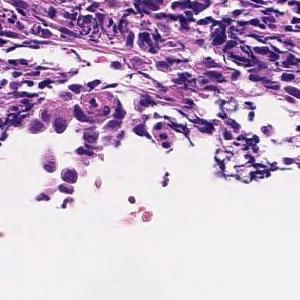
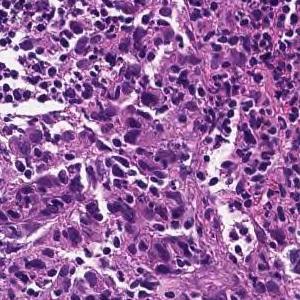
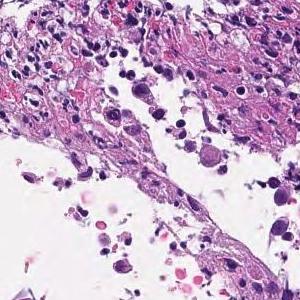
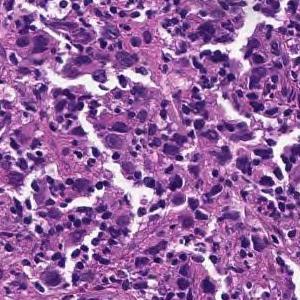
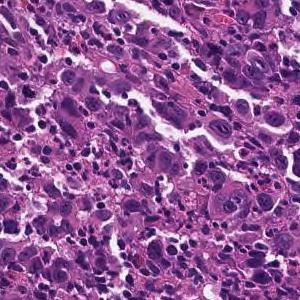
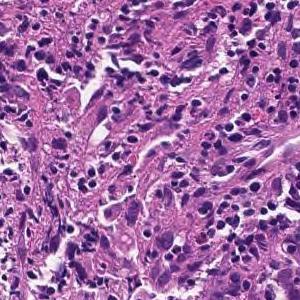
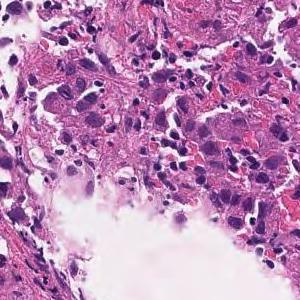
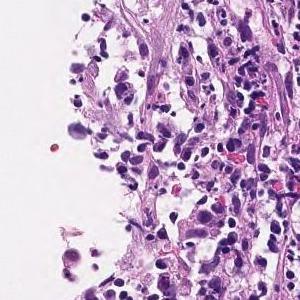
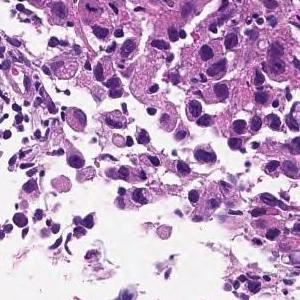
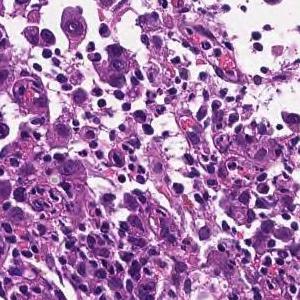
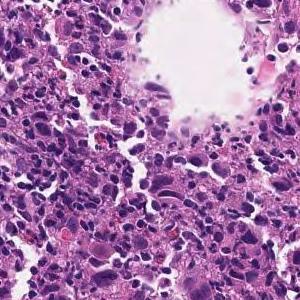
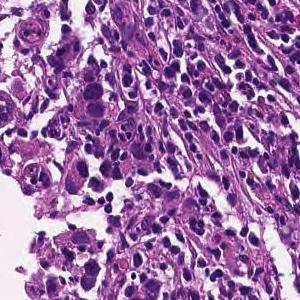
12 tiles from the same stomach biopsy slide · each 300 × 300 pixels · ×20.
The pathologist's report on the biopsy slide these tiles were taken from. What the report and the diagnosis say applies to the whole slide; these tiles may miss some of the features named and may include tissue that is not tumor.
The superficial epithelium shows a large sheet-like shape, and some tumor tissue infiltrates with small irregular ducts. Poorly differentiated adenocarcinoma, solid-type (poorly differentiated adenocarcinoma, solid type)
Histologic type: Poorly differentiated adenocarcinoma, solid type, a category of the Japanese Classification of Gastric Carcinoma; in the WHO 2019 classification it is tubular adenocarcinoma, poorly differentiated.
